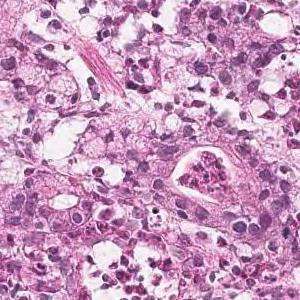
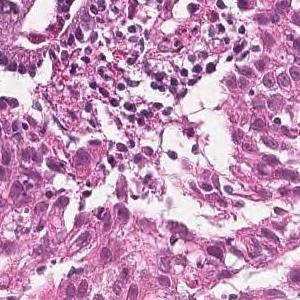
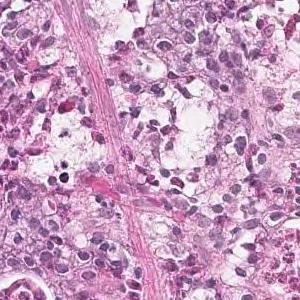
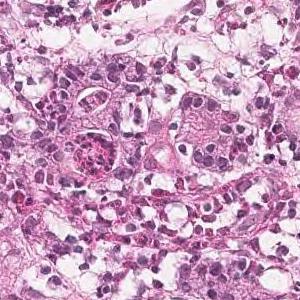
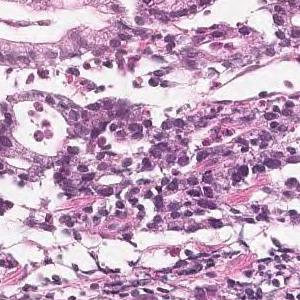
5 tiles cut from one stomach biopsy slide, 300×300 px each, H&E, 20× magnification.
Pathology report for the slide these tiles were cut from. The report and the diagnosis describe the slide as a whole, so these tiles may not show every feature named and may include non-tumor tissue.
Tumor tissue consisting of medium-sized, cord-like or irregular glandular infiltration is observed in the superficial epithelium. Poorly differentiated adenocarcinoma, non-solid type or moderately differentiated tubular adenocarcinoma
The term "non-solid type" comes from the Japanese Classification of Gastric Carcinoma.
